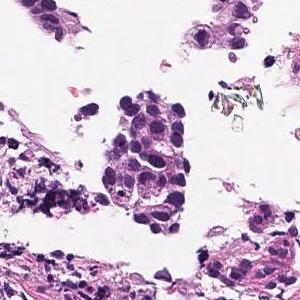
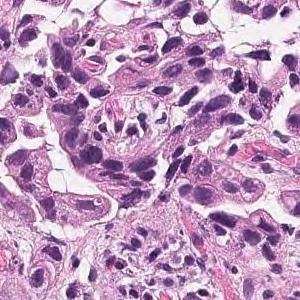
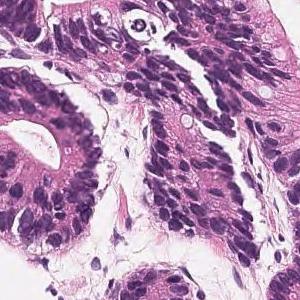
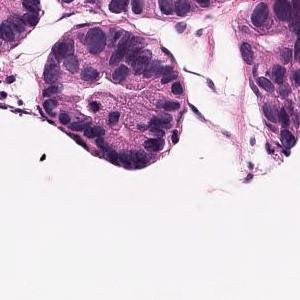
4 image tiles from a single gastric biopsy slide; hematoxylin and eosin stain; ×20.
Report on the slide these tiles come from. The findings and the diagnosis refer to the entire slide; these tiles show only part of it, possibly with non-tumor tissue, and may not show every feature named.
Medium to small, irregular glandular ducts are formed in the superficial epithelium, and in some cases, the glandular ducts are fused to show solid alveolar lesions and infiltrating tumor tissue is observed. Moderately to poorly differentiated adenocarcinoma.
